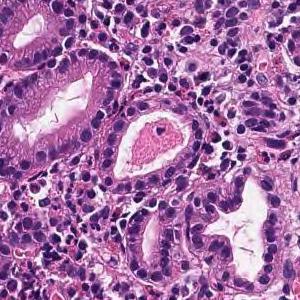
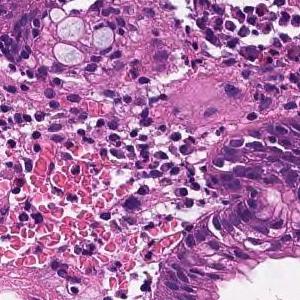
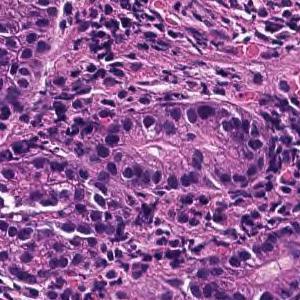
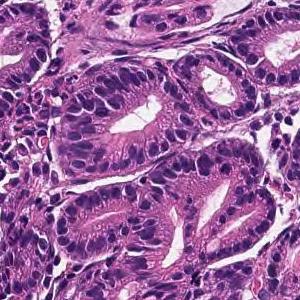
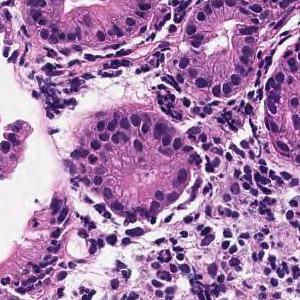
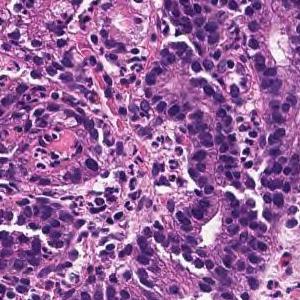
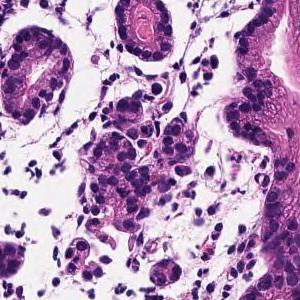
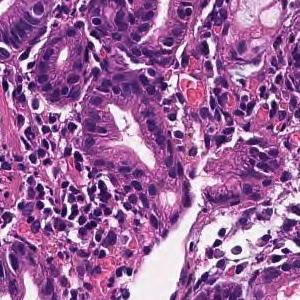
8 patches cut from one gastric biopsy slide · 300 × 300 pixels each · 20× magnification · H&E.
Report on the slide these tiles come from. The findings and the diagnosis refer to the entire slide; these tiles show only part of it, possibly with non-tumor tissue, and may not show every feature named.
Tumor tissue infiltrated and proliferated with small to medium-sized irregular tubules is observed in the superficial epithelium. Well differentiated tubular adenocarcinoma
